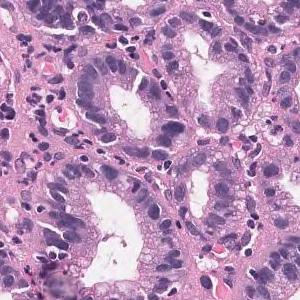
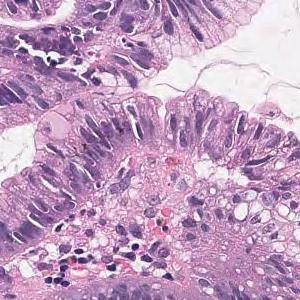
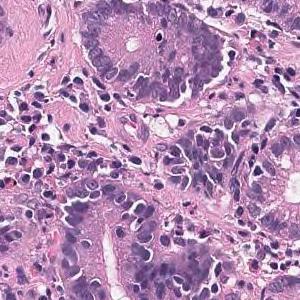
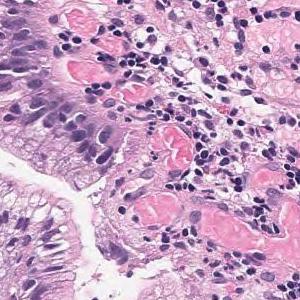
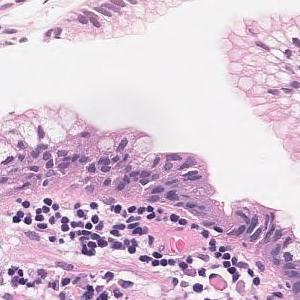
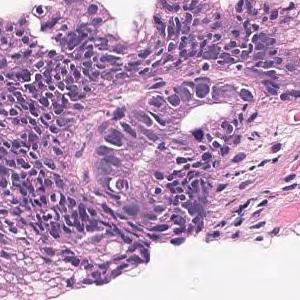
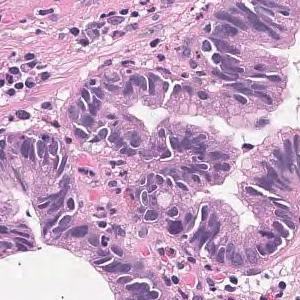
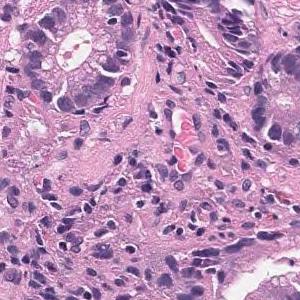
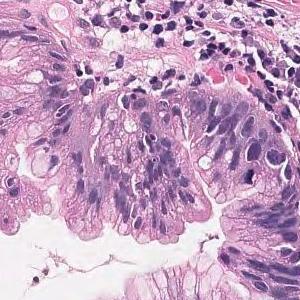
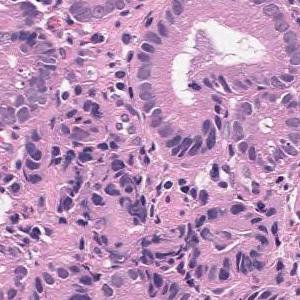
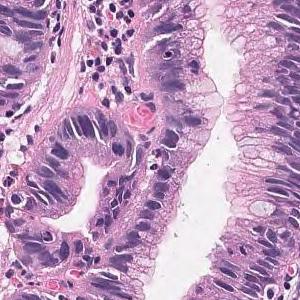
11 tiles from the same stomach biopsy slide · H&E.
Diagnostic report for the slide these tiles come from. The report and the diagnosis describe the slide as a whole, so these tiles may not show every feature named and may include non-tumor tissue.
Tumor tissue that grows tubular from the surface to the glandular fossa is seen. Adenocarcinoma.
Histologic type: Well differentiated tubular adenocarcinoma.
